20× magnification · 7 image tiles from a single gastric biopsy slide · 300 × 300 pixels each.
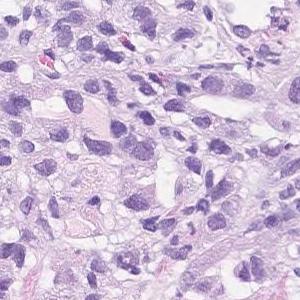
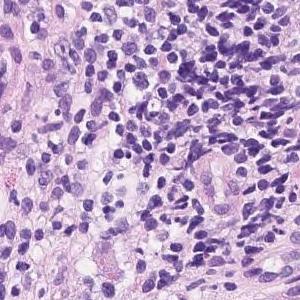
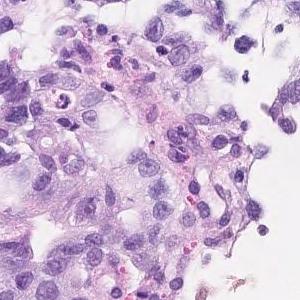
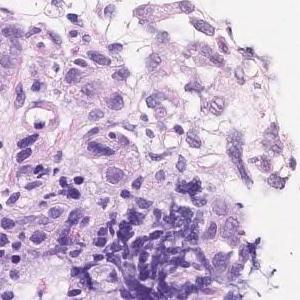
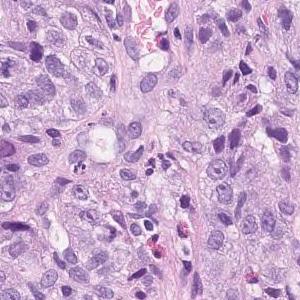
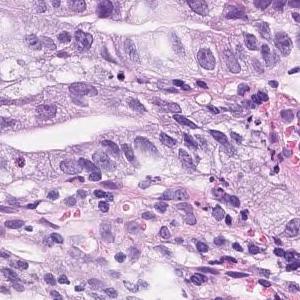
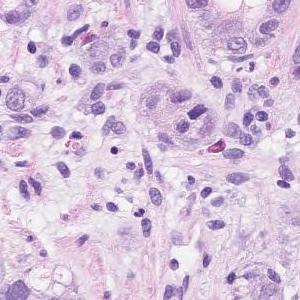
Pathology report for the biopsy slide these tiles were cut from. Both the report and the diagnosis are for the whole slide: these tiles need not show every feature named, and some of the tissue shown may not be tumor.
In the superficial epithelium, tumor tissue that invades by forming medium-sized to small, irregular ducts is observed. Moderately to poorly differentiated adenocarcinoma
